12 image tiles from a single gastric biopsy slide, 300×300 px each, hematoxylin and eosin stain, scanned at ×20.
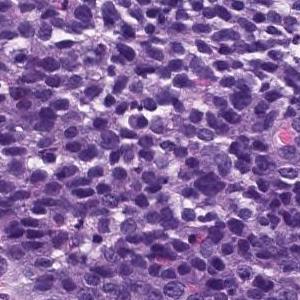
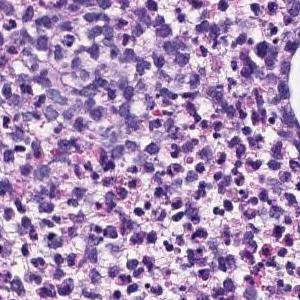
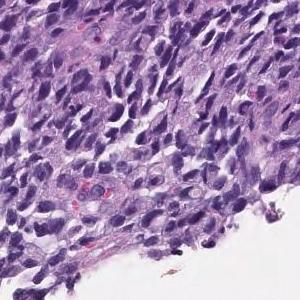
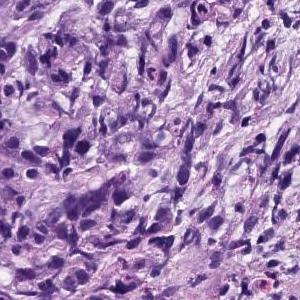
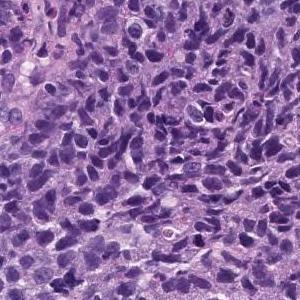
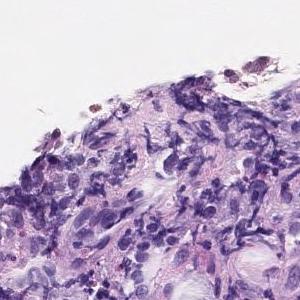
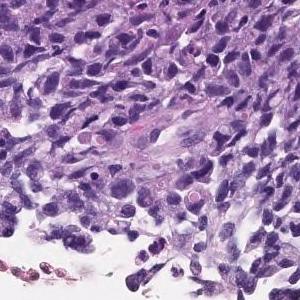
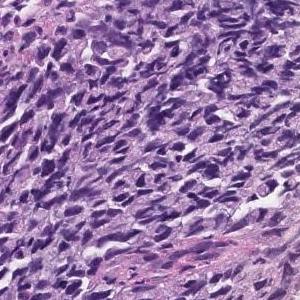
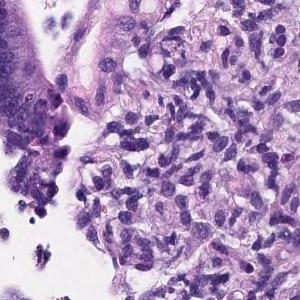
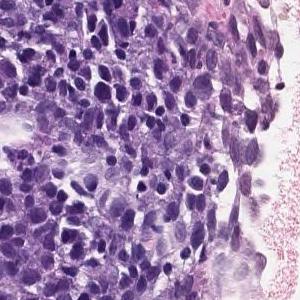
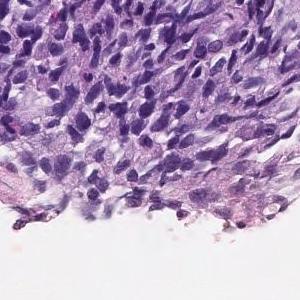
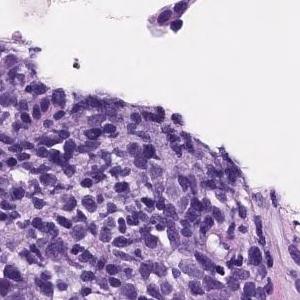
Diagnostic report for the slide these tiles come from. The report and the diagnosis cover the entire slide, so not every feature they name need be visible here, and some tissue shown may not be tumor.
The superficial epithelium shows a large sheet-like shape, and some tumor tissue infiltrates with small irregular ducts. Poorly differentiated adenocarcinoma, solid-type
Histological subtype: Poorly differentiated adenocarcinoma, solid type, a category of the Japanese Classification of Gastric Carcinoma; in the WHO 2019 classification it is tubular adenocarcinoma, poorly differentiated.
